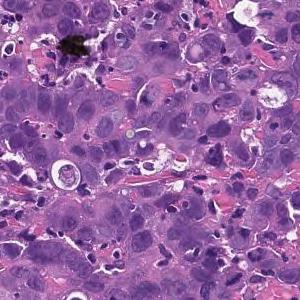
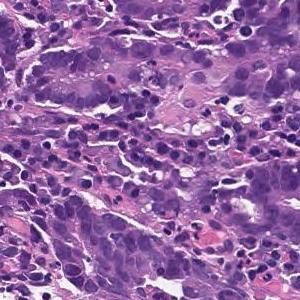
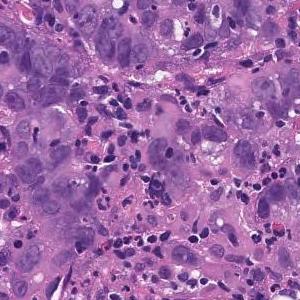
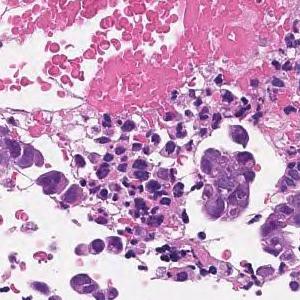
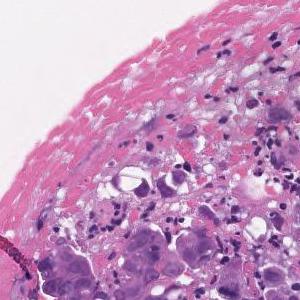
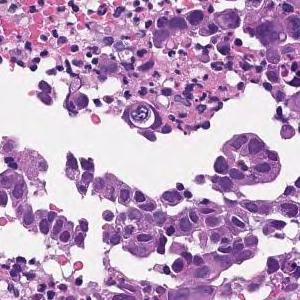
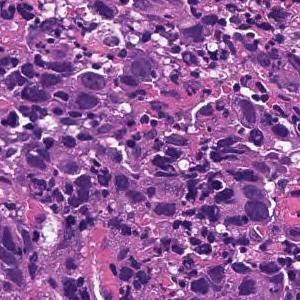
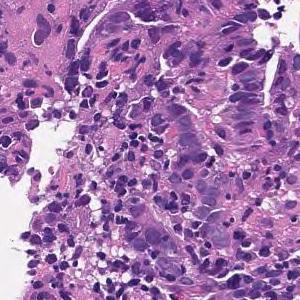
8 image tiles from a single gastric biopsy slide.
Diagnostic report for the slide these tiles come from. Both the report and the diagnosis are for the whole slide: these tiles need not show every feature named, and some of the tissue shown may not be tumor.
Tumor tissue consisting of cord-like or small, irregular glandular ducts fused and infiltrated is observed in the superficial epithelium. Poorly differentiated adenocarcinoma, non-solid type
The term "non-solid type" comes from the Japanese Classification of Gastric Carcinoma.
